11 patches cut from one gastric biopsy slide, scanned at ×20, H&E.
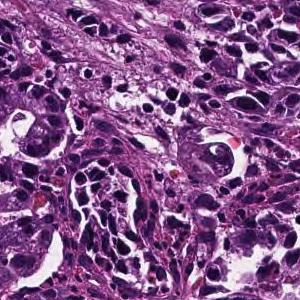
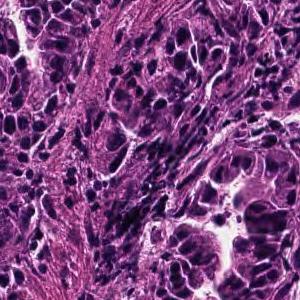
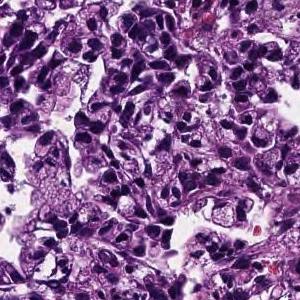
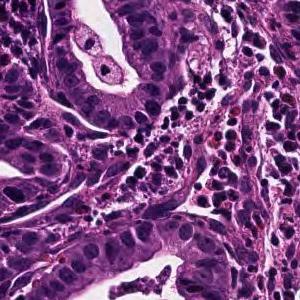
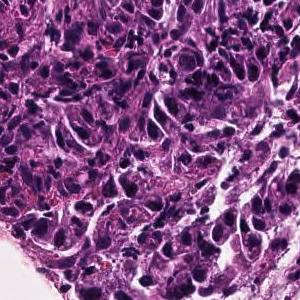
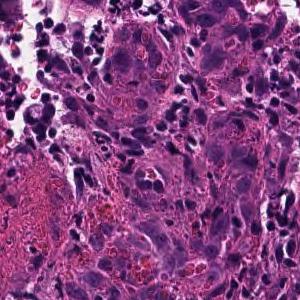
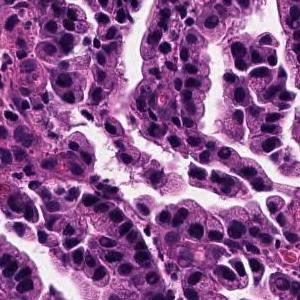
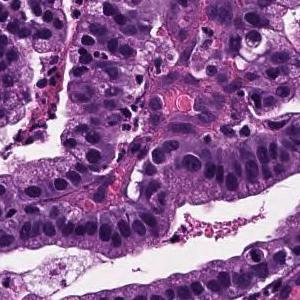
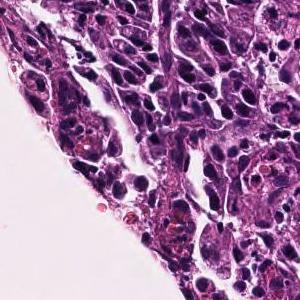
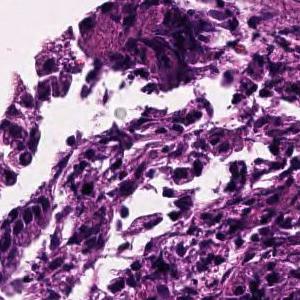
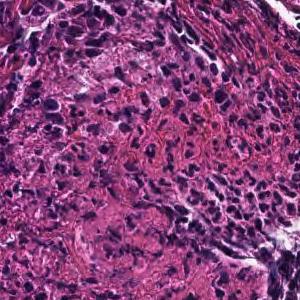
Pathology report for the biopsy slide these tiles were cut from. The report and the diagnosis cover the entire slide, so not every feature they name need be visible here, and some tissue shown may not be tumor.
Tumor cells are large, highly columnar, large club-shaped nuclei, and are associated with chromatin aggregation. Papillary adenocarcinoma.
